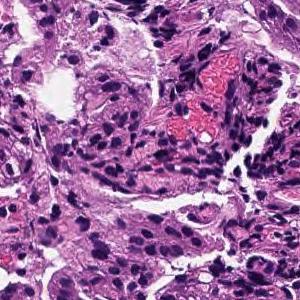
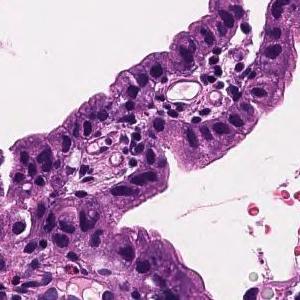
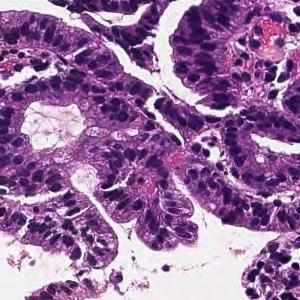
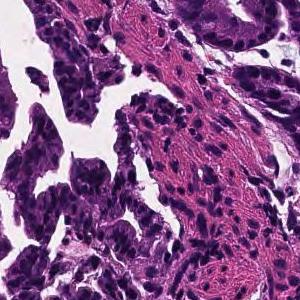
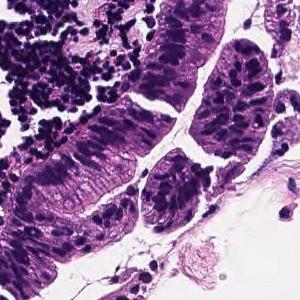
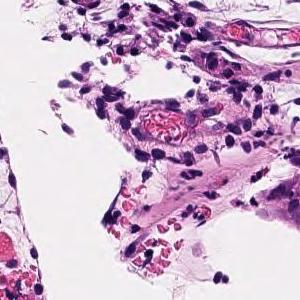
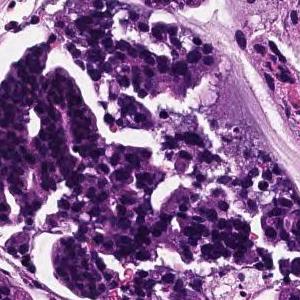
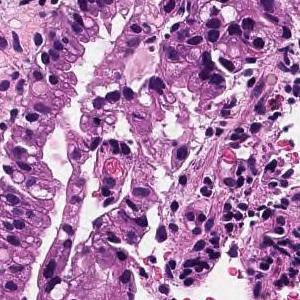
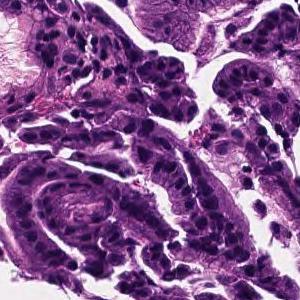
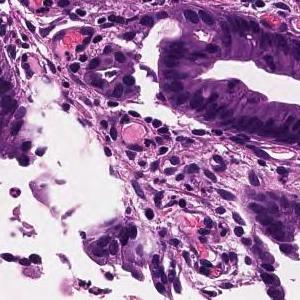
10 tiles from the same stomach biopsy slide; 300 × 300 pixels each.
Report on the slide these tiles come from. The findings and the diagnosis refer to the entire slide; these tiles show only part of it, possibly with non-tumor tissue, and may not show every feature named.
On the superficial epithelium, tumor tissue that infiltrates by forming medium-sized papillary or small irregular ducts is observed. Papillary adenocarcinoma
